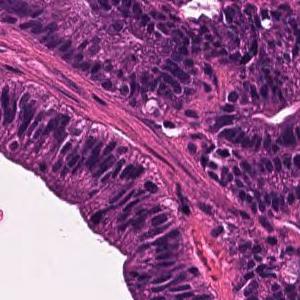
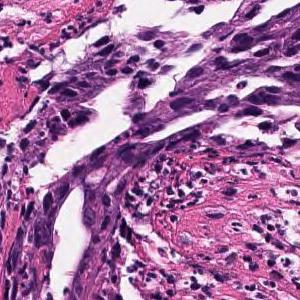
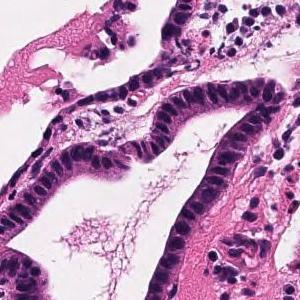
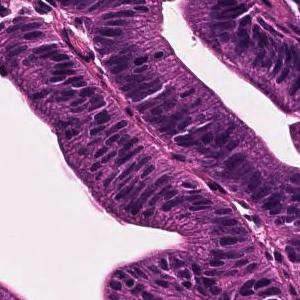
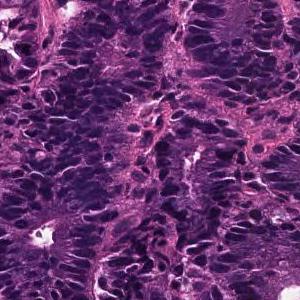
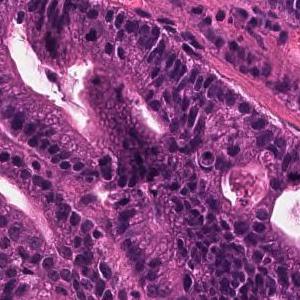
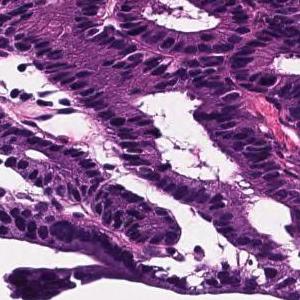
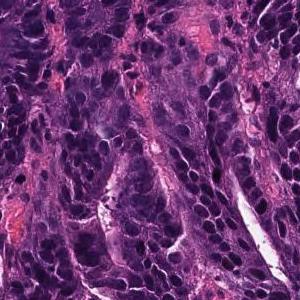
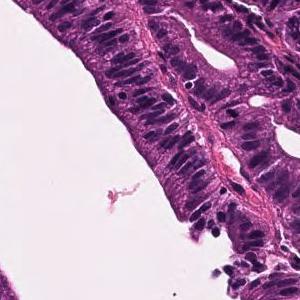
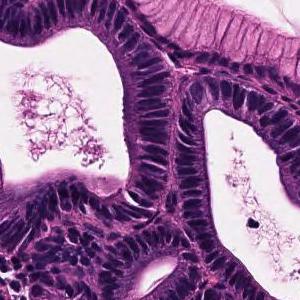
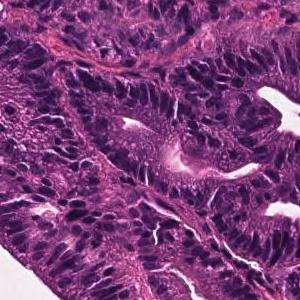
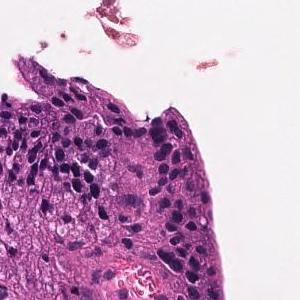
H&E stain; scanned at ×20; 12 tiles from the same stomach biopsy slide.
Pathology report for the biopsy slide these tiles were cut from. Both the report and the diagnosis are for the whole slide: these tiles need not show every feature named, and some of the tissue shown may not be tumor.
Tumor tissue that remains within the superficial epithelium and is infiltrated by large papillary or irregular ducts that fuse with each other is observed. Well differentiated tubular adenocarcinoma
